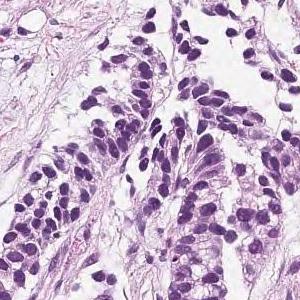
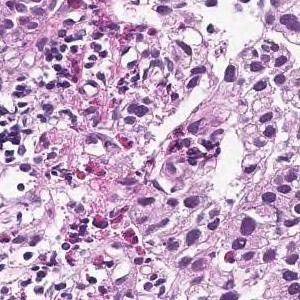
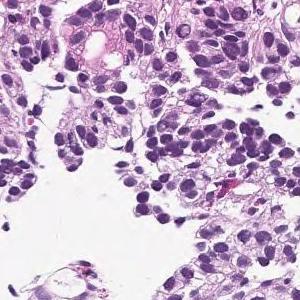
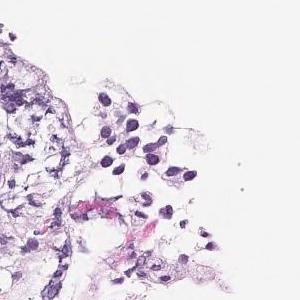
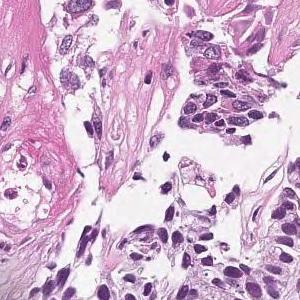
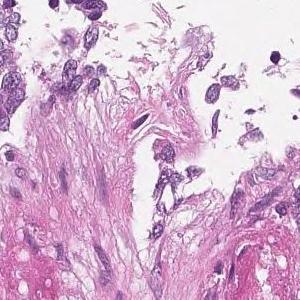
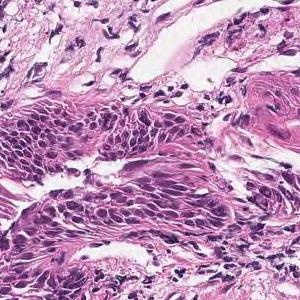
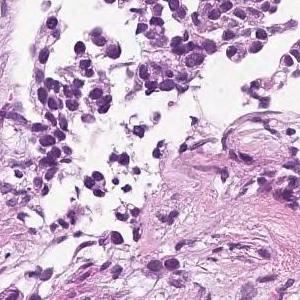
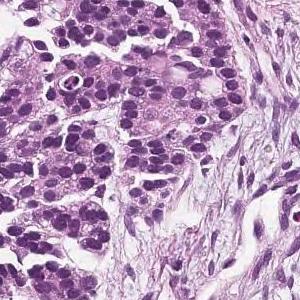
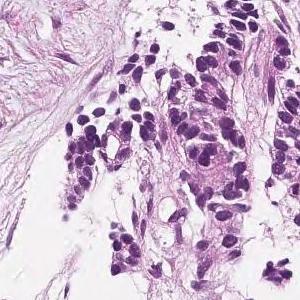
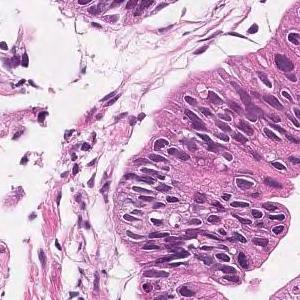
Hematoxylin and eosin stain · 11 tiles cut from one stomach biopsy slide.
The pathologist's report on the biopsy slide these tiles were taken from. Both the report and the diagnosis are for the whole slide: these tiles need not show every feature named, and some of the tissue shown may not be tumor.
Medium to small, irregular glandular ducts are formed in the superficial epithelium, and in some cases, the glandular ducts are fused to show solid alveolar lesions and infiltrating tumor tissue is observed. Moderately to poorly differentiated adenocarcinoma.
